Hematoxylin and eosin stain, 10 tiles cut from one stomach biopsy slide, each 300 × 300 pixels.
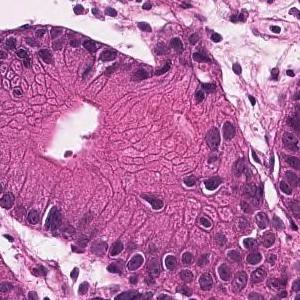
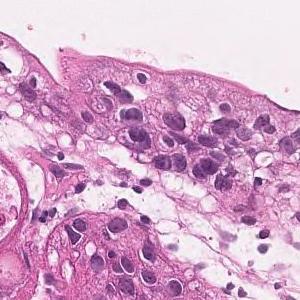
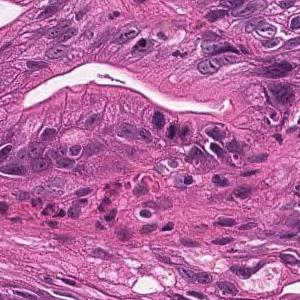
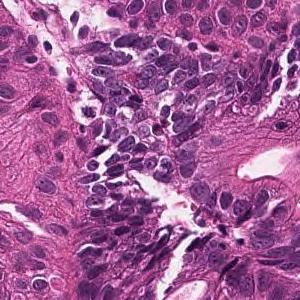
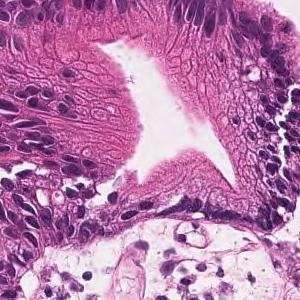
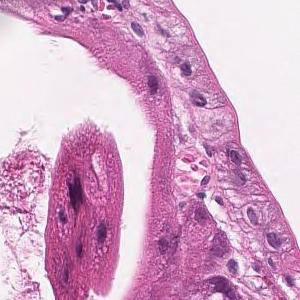
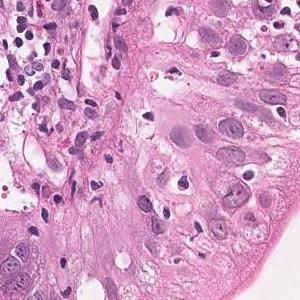
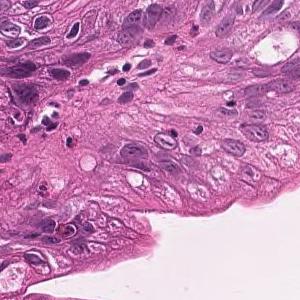
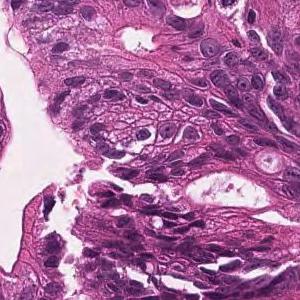
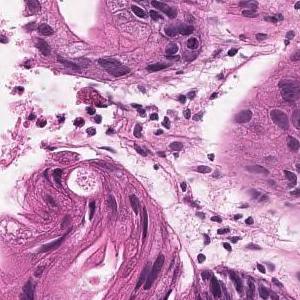
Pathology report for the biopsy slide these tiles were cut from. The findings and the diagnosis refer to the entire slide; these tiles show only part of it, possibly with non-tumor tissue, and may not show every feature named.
On the superficial epithelium, tumor tissue that infiltrates by forming medium-sized papillary or small irregular ducts is observed. Papillary adenocarcinoma
